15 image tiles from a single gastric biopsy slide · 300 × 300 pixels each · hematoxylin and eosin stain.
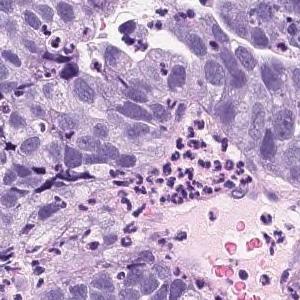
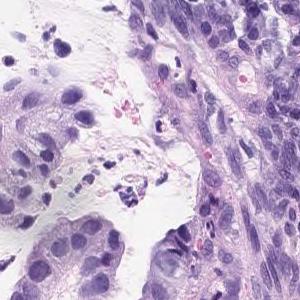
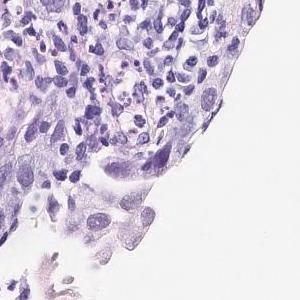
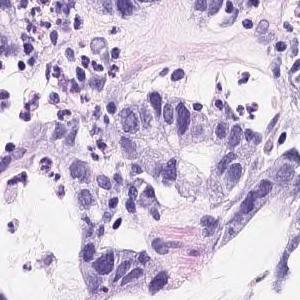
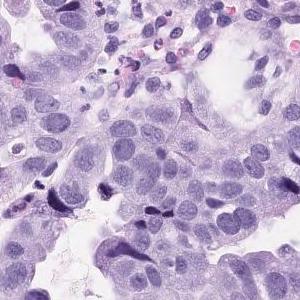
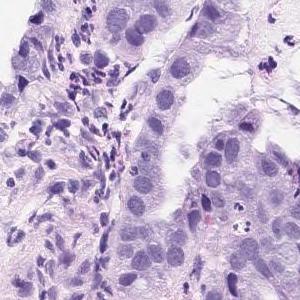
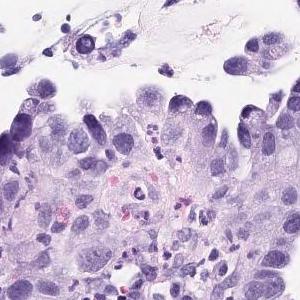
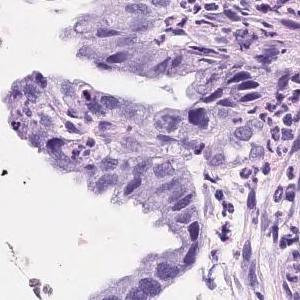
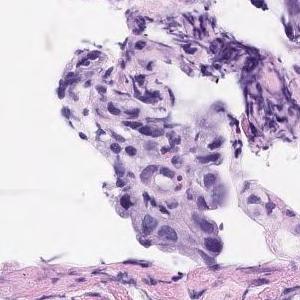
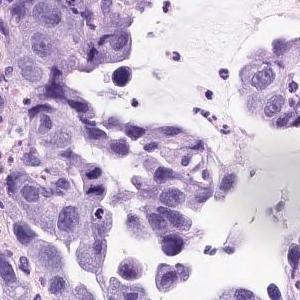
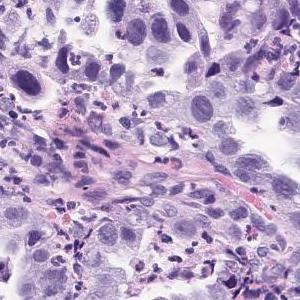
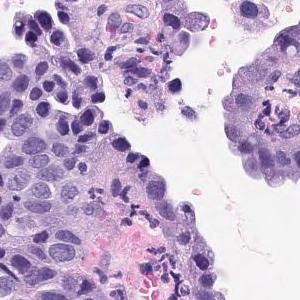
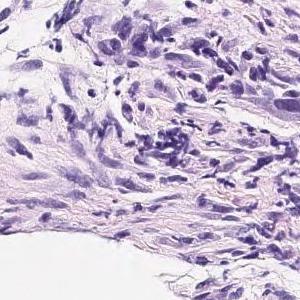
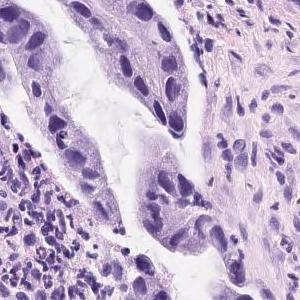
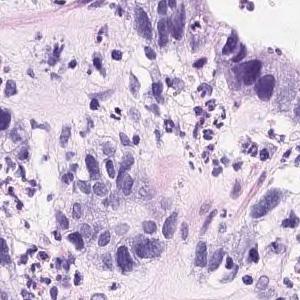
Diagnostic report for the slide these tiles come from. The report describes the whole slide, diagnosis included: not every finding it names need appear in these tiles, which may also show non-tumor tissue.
Atypical l cells with atypical nuclei forming solid or diffuse vesicles or small irregular atypical ducts and growing in a complex manner. Well differentiated tubular adenocarcinoma
